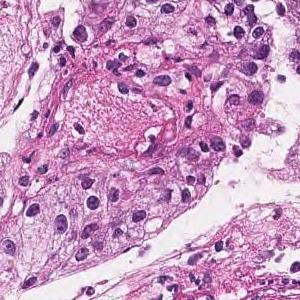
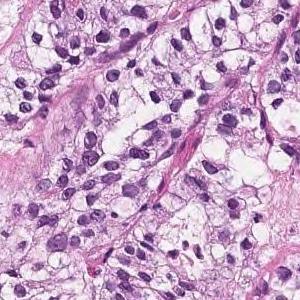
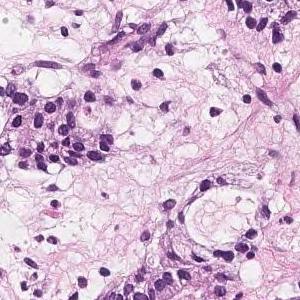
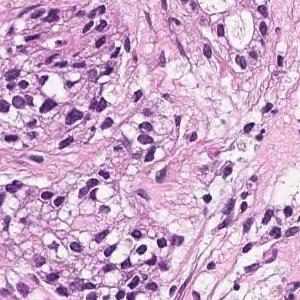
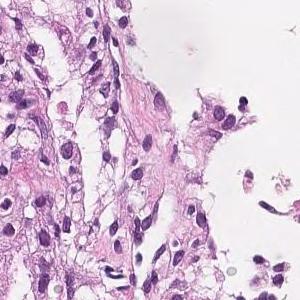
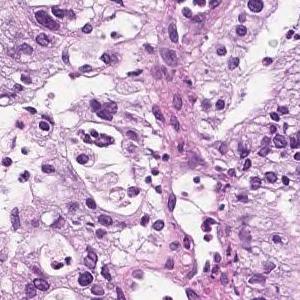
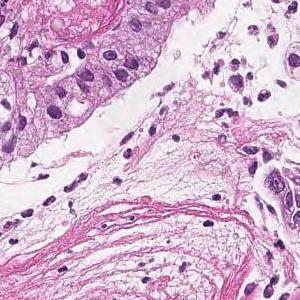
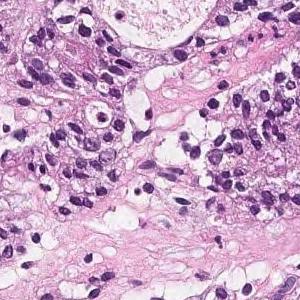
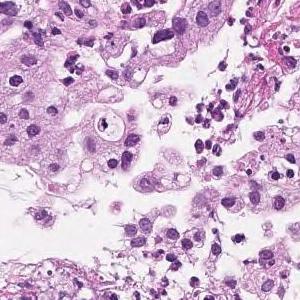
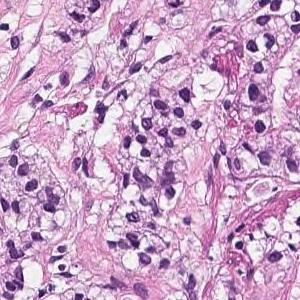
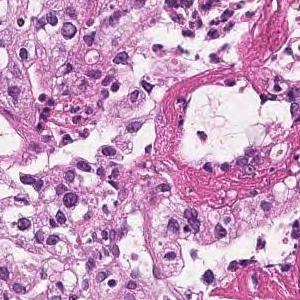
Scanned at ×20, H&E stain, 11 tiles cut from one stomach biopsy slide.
Pathology report for the biopsy slide these tiles were cut from. The report and the diagnosis describe the slide as a whole, so these tiles may not show every feature named and may include non-tumor tissue.
In the superficial epithelium, tumor tissue that invades by forming medium-sized to small, irregular ducts is observed. moderately differentiated tubular adenocarcinoma.
